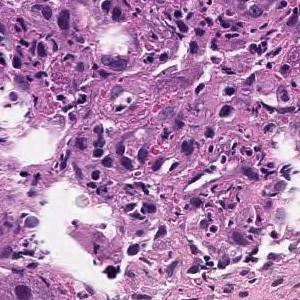
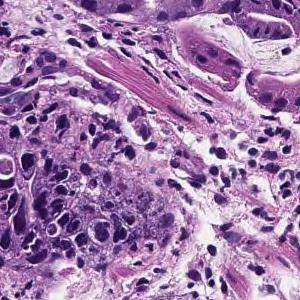
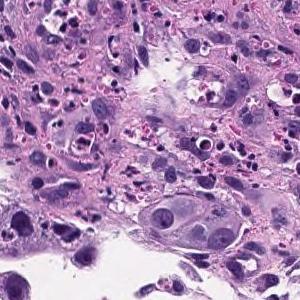
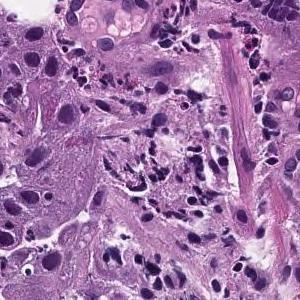
4 tiles cut from one stomach biopsy slide · 300 × 300 pixels each · ×20.
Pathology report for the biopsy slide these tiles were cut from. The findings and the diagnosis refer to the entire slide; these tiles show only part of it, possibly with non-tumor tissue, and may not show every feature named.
In the superficial epithelium, medium to small irregular gland ducts are formed, and in some cases, the ducts are fused to show solid alveolar lesions and infiltrating tumor tissue is observed. Moderately to poorly differentiated adenocarcinoma
